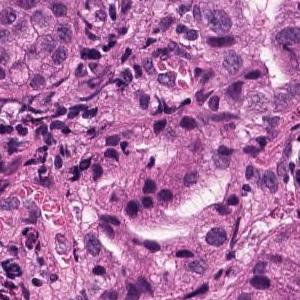
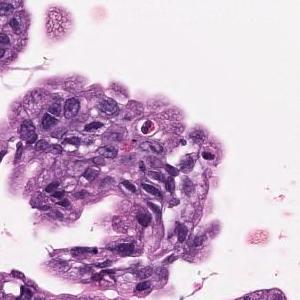
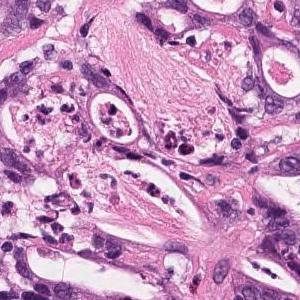
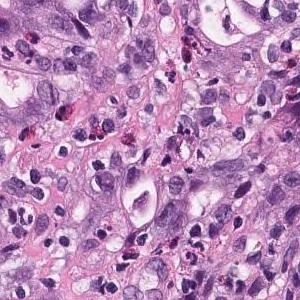
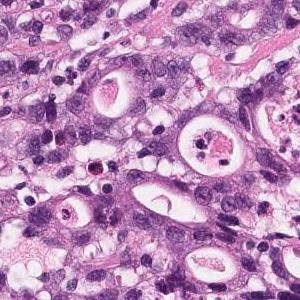
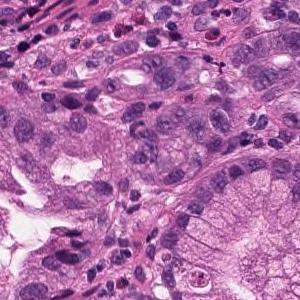
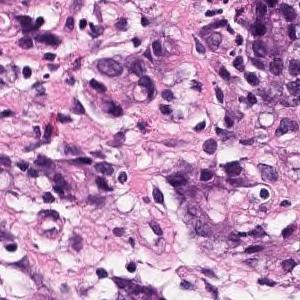
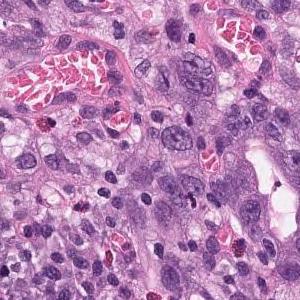
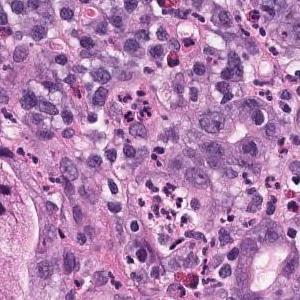
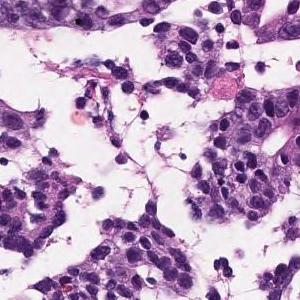
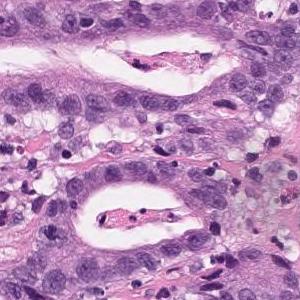
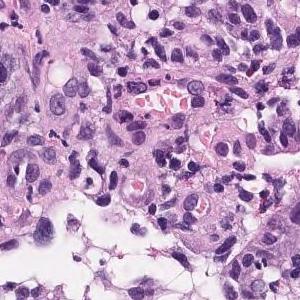
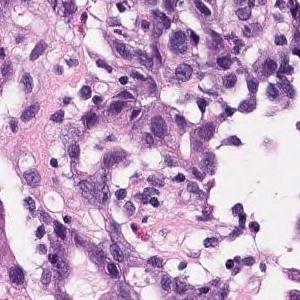
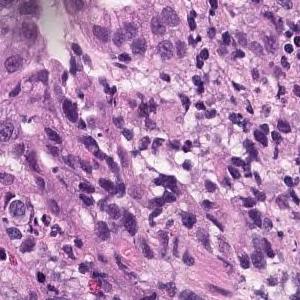
×20 · hematoxylin and eosin stain · 14 image tiles from a single gastric biopsy slide · 300 × 300 pixels each.
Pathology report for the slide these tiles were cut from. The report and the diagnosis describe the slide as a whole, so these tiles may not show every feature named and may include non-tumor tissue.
Atypical ducts proliferating with obscure duct construction and solid sequences is observed. Moderately to poorly differentiated adenocarcinoma.
